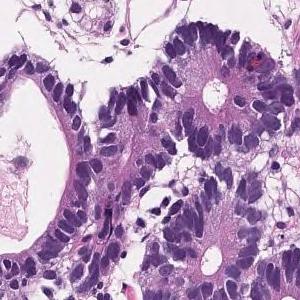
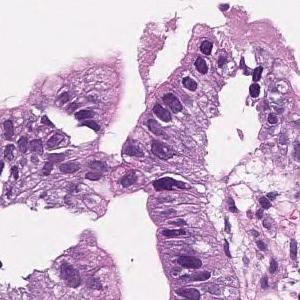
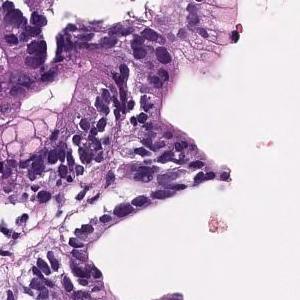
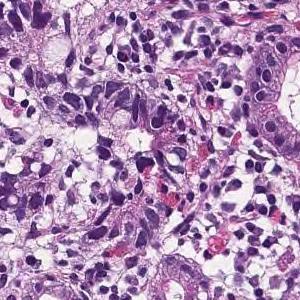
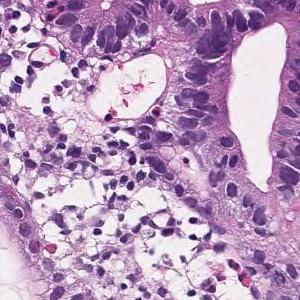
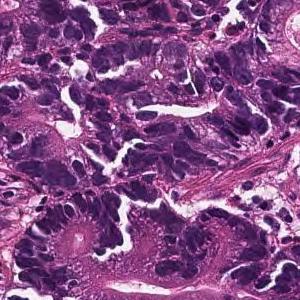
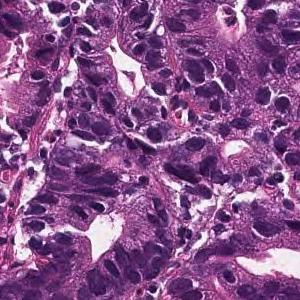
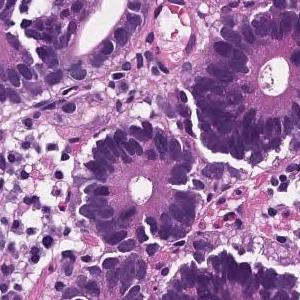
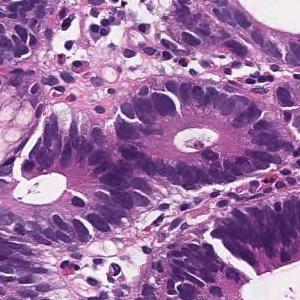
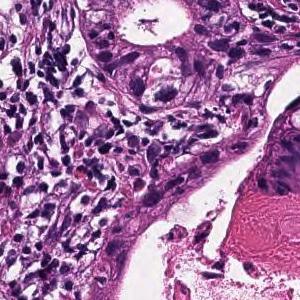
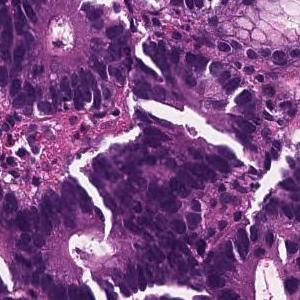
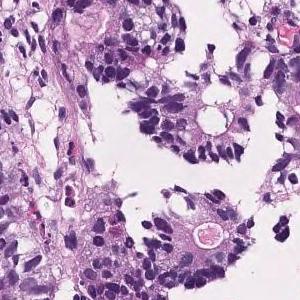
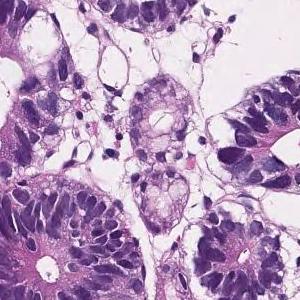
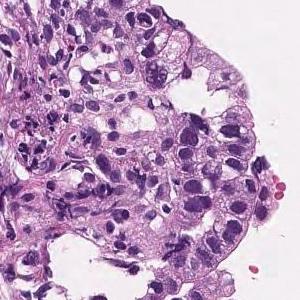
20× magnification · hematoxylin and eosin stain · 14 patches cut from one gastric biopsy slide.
Pathology report for the slide these tiles were cut from. The findings and the diagnosis refer to the entire slide; these tiles show only part of it, possibly with non-tumor tissue, and may not show every feature named.
On the superficial epithelium, tumor tissue consisting of large, irregular glandular ducts partially fused and infiltrated is observed. Well to moderately differentiated tubular adenocarcinoma (well differentiated tubular adenocarcinoma, moderately differentiated tubular adenocarcinoma)
Subtype: Well to moderately differentiated tubular adenocarcinoma.
